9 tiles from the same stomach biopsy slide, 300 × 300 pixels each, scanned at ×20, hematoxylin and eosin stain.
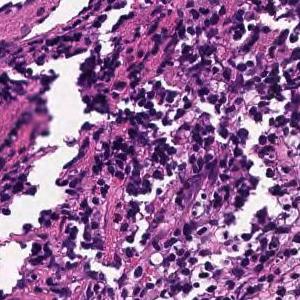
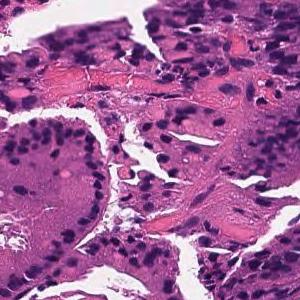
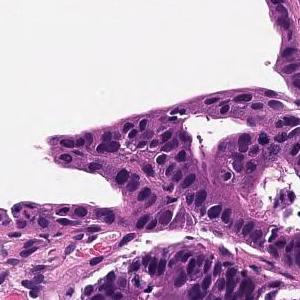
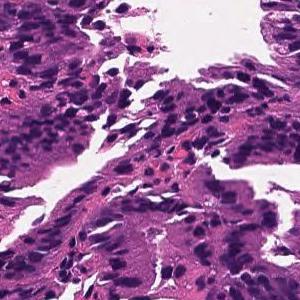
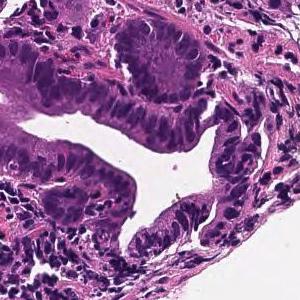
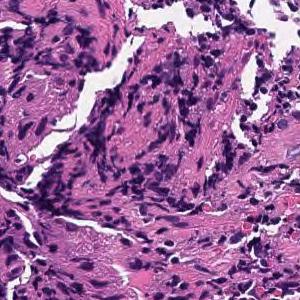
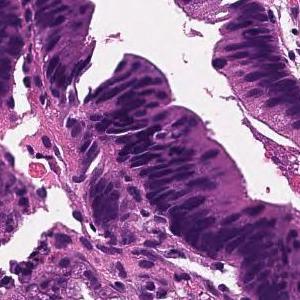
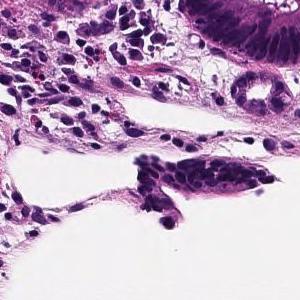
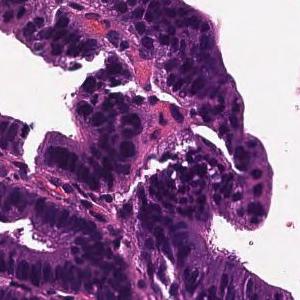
Diagnostic report for the slide these tiles come from. The report and the diagnosis cover the entire slide, so not every feature they name need be visible here, and some tissue shown may not be tumor.
Tumor cells are large, highly columnar, large club-shaped nuclei, and are associated with chromatin aggregation. Papillary adenocarcinoma.
